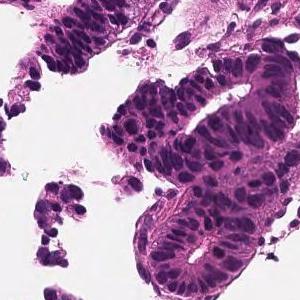
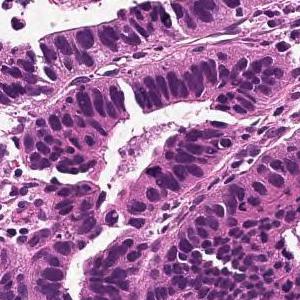
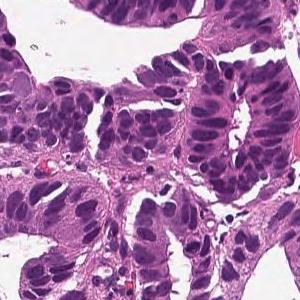
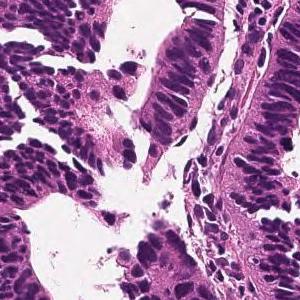
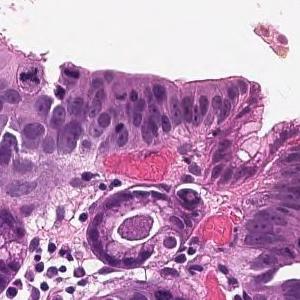
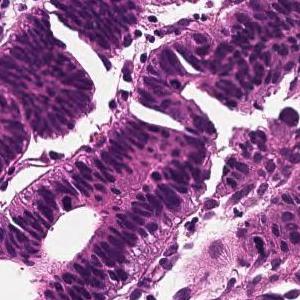
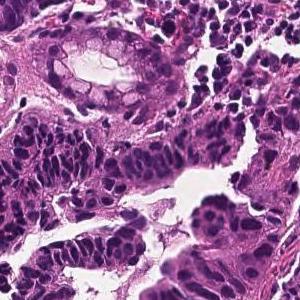
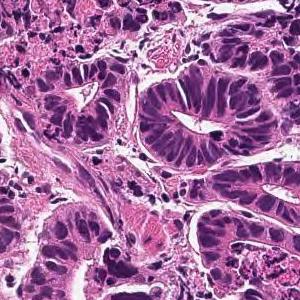
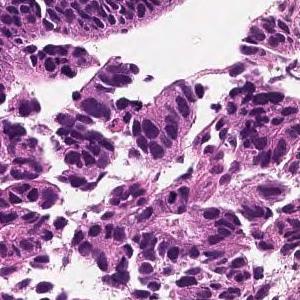
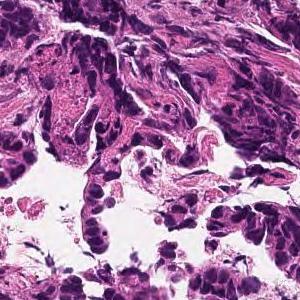
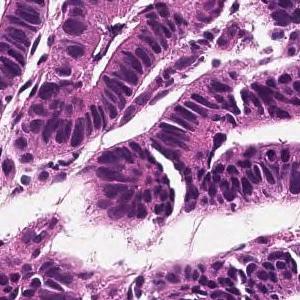
H&E stain · ×20 · 11 tiles cut from one stomach biopsy slide · 300 × 300 pixels each.
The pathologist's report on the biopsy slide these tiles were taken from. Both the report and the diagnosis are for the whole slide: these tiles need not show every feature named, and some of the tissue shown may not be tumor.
From the superficial epithelium to the muscularis mucosae, tumor tissue consisting of medium-sized and irregular glandular ducts infiltrating is observed. Well differentiated tubular adenocarcinoma
